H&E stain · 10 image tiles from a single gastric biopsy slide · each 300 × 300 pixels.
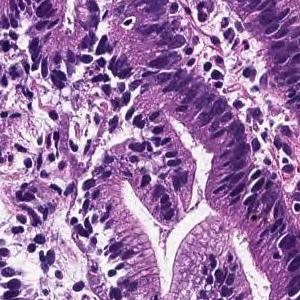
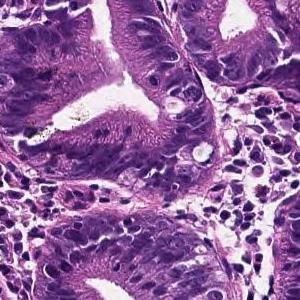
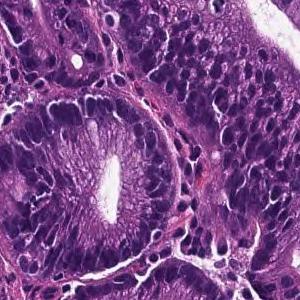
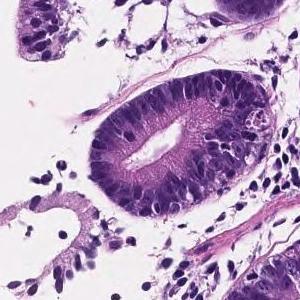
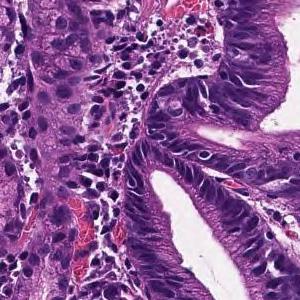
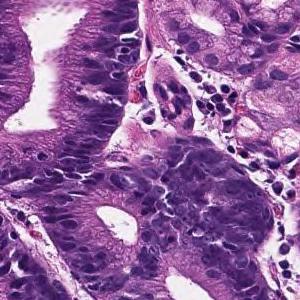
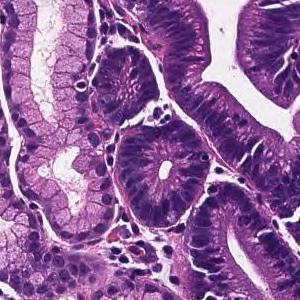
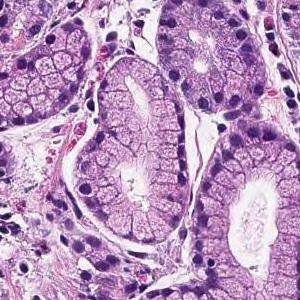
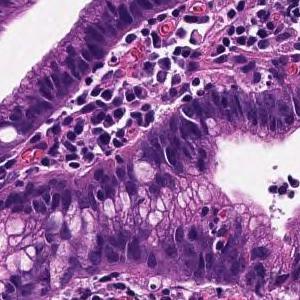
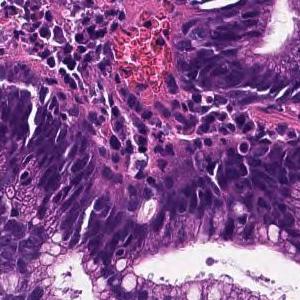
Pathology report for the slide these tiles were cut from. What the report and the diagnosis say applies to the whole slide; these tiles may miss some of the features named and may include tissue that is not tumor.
From the superficial epithelium to the muscularis mucosae, tumor tissue consisting of medium-sized and irregular glandular ducts infiltrating is observed. Well differentiated tubular adenocarcinoma
